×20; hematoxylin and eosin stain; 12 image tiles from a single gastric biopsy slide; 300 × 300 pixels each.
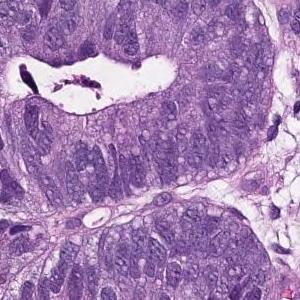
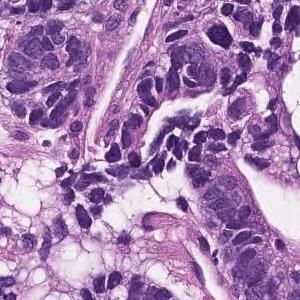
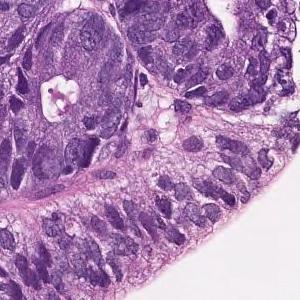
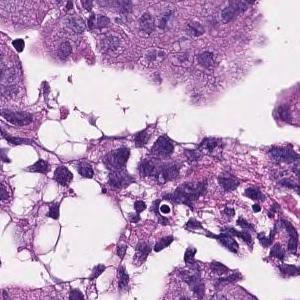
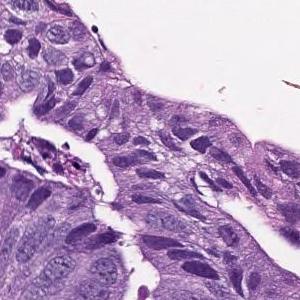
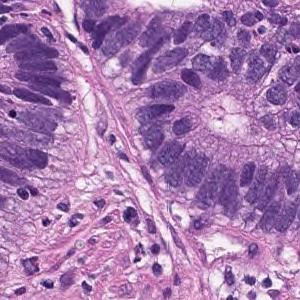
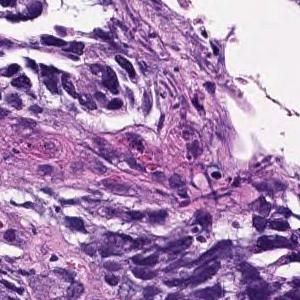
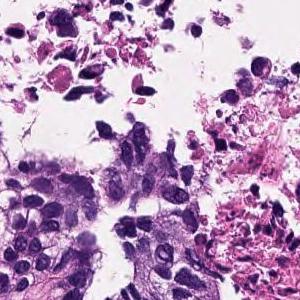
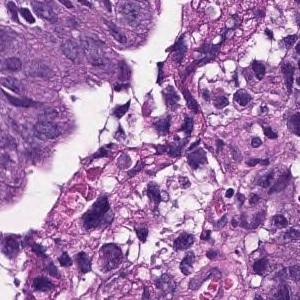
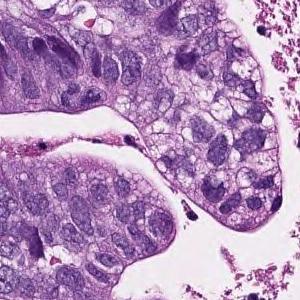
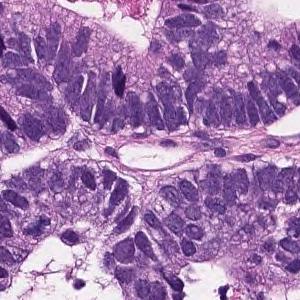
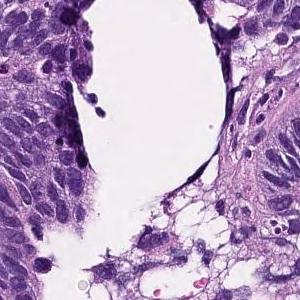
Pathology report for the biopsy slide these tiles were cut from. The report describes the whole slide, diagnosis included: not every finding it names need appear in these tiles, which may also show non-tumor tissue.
In the superficial epithelium, tumor tissue that invades by forming medium-sized to small, irregular ducts is observed. moderately differentiated tubular adenocarcinoma.
